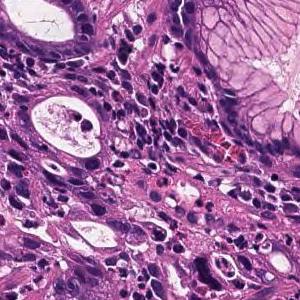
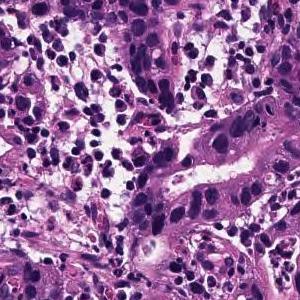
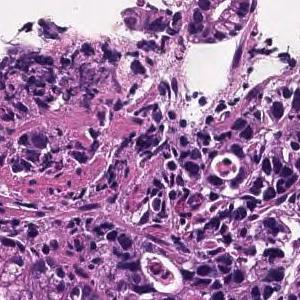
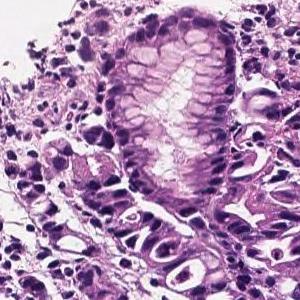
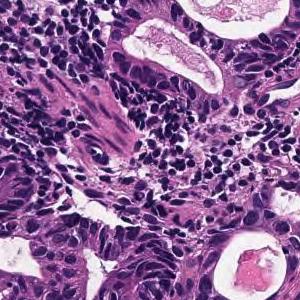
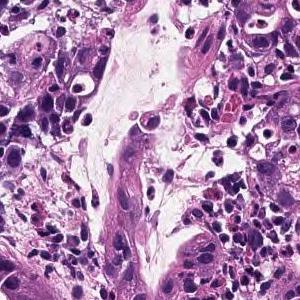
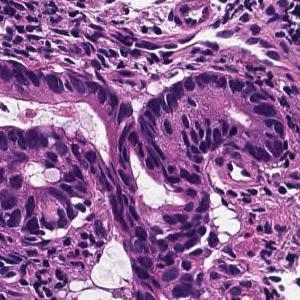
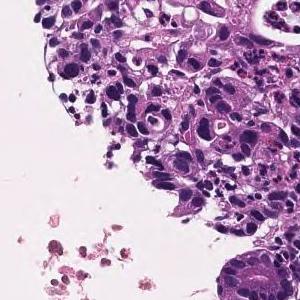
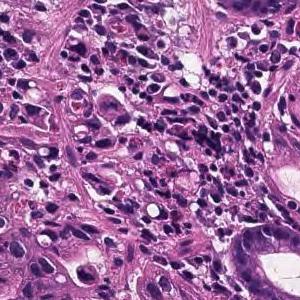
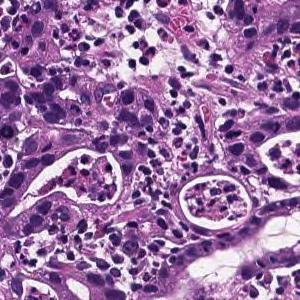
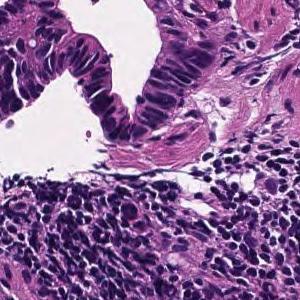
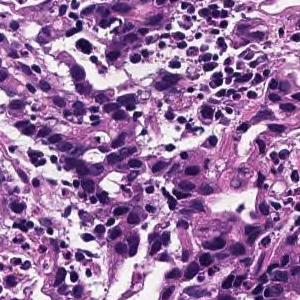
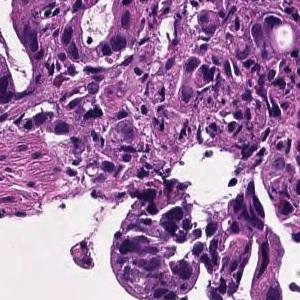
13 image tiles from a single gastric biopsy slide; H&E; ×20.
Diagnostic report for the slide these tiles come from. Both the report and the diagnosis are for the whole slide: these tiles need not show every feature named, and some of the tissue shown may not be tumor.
In the superficial epithelium, tumor tissue that invades by forming medium-sized to small, irregular ducts is observed. moderately differentiated tubular adenocarcinoma.
